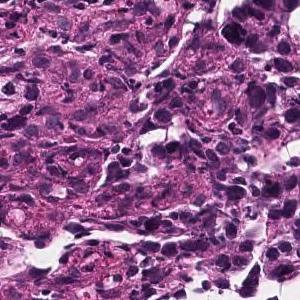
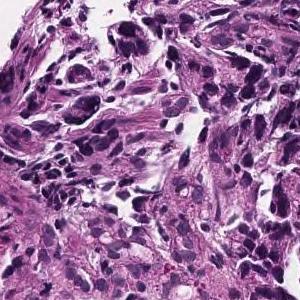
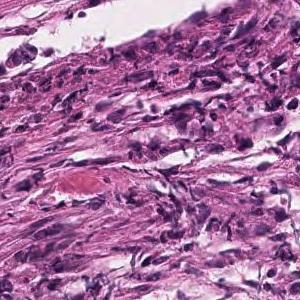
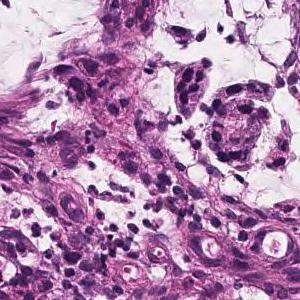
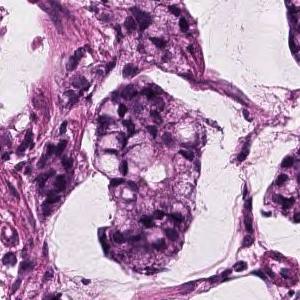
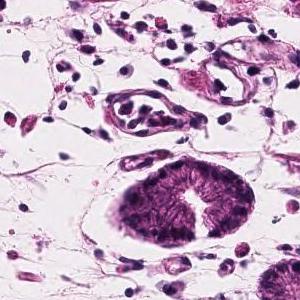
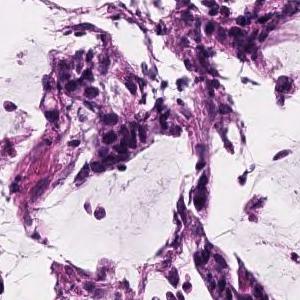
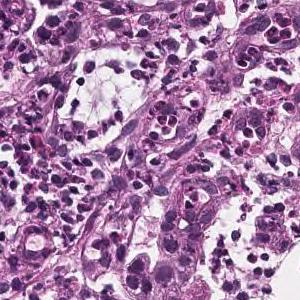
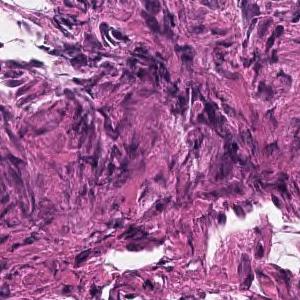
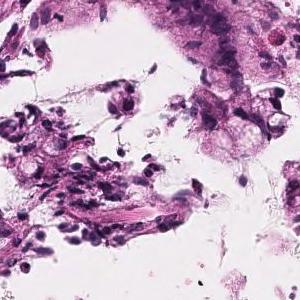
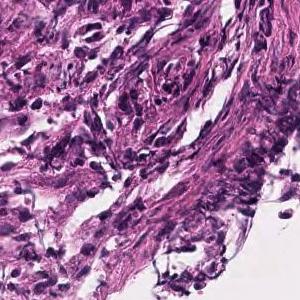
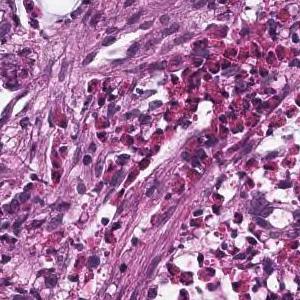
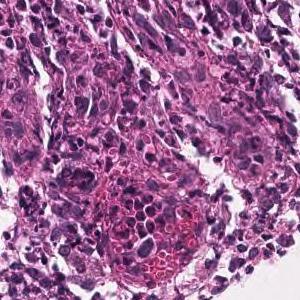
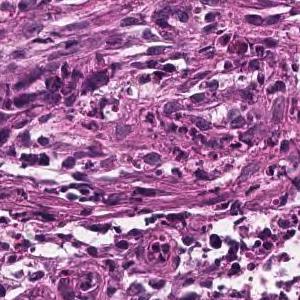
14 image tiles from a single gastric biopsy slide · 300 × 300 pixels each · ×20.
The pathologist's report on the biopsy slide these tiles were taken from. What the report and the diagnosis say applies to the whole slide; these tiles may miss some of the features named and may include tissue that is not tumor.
Atypical epithelial cells form obscure ductal structures or small solid follicles, and tumor tissue that proliferates invasively with proliferation of inflammatory granulation tissue is observed. Mucinous adenocarcinoma .
